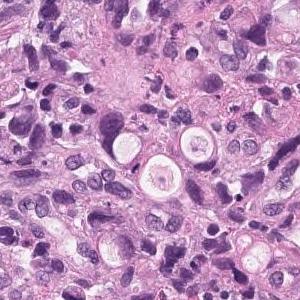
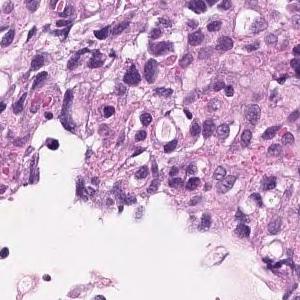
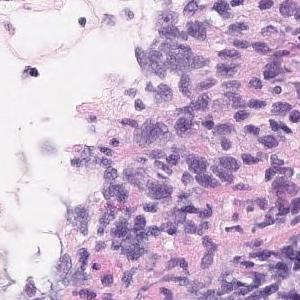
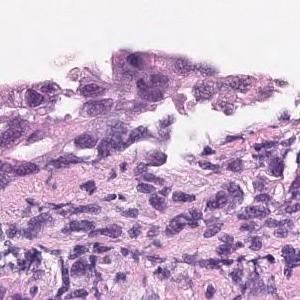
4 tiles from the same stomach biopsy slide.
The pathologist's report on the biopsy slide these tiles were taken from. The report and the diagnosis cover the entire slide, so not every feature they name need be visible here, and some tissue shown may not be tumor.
Tumor tissue consisting of medium-sized, cord-like or irregular glandular infiltration is observed in the superficial epithelium. Poorly differentiated adenocarcinoma, non-solid type or moderately differentiated tubular adenocarcinoma
Labeled in the dataset as poorly differentiated adenocarcinoma, non-solid type.
The non-solid type named here is a Japanese Classification of Gastric Carcinoma category.
